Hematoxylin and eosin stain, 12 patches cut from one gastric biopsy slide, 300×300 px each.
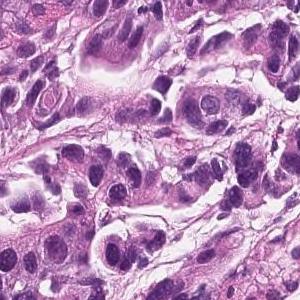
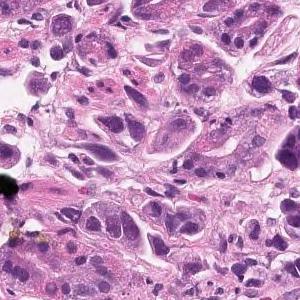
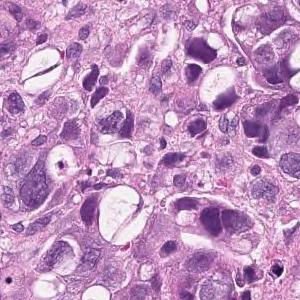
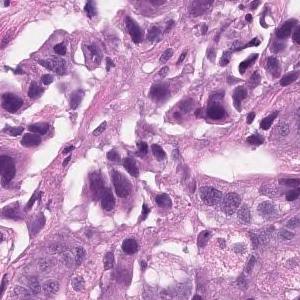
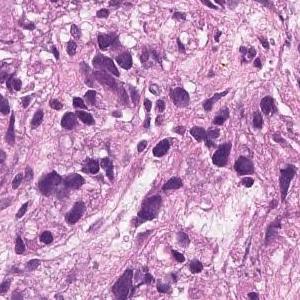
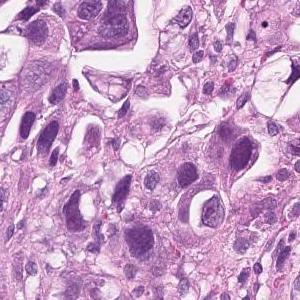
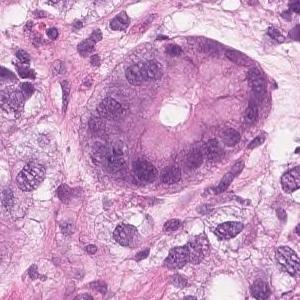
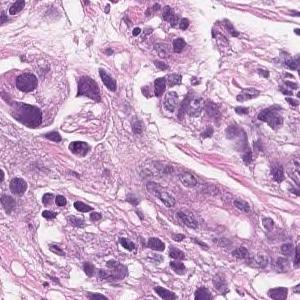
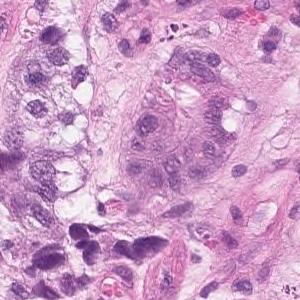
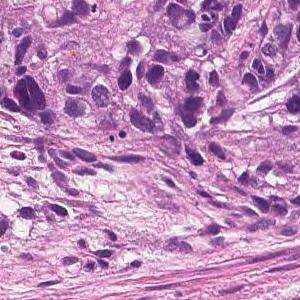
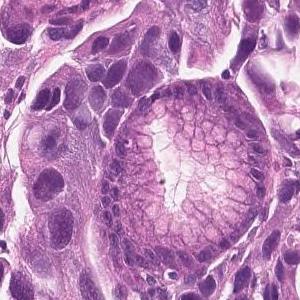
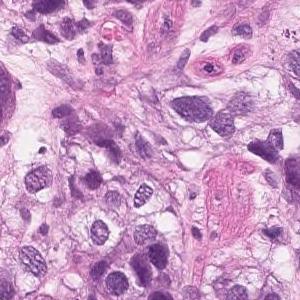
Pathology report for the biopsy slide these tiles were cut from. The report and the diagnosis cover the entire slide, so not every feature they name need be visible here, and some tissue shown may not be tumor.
Tumor tissue that infiltrates the epithelium in an alveolar manner. Poorly differentiated adenocarcinoma, solid-type
Classified as poorly differentiated adenocarcinoma, solid type (Japanese Classification of Gastric Carcinoma). The WHO 2019 equivalent is tubular adenocarcinoma, poorly differentiated.
